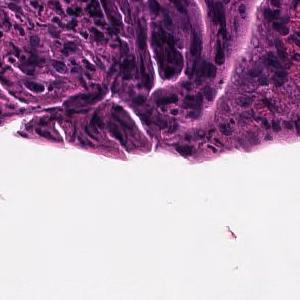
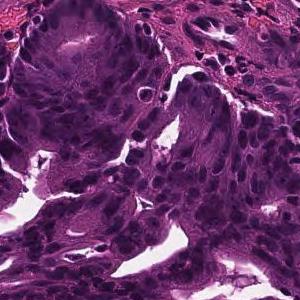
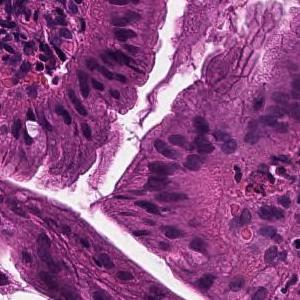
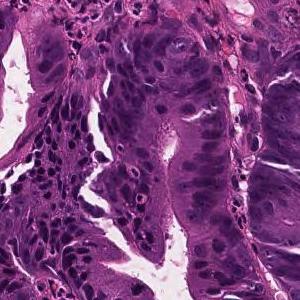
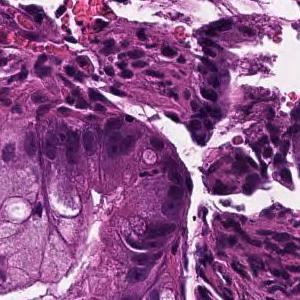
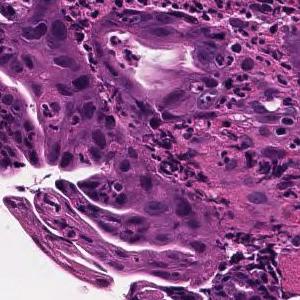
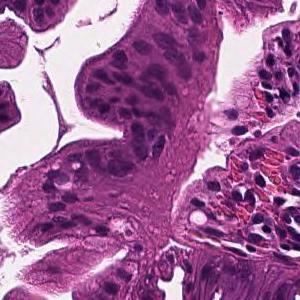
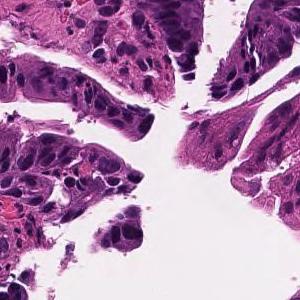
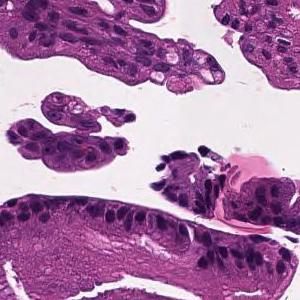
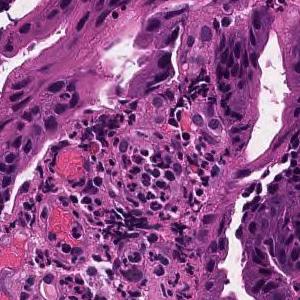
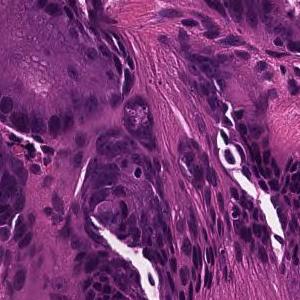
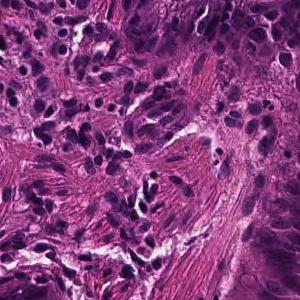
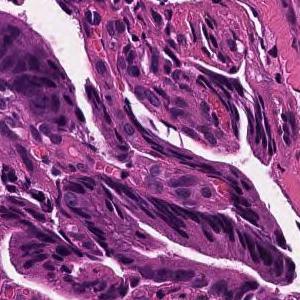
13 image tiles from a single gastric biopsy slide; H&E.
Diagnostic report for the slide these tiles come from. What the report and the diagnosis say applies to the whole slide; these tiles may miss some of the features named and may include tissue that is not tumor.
Tumor cells are large, highly columnar, large club-shaped nuclei, and are associated with chromatin aggregation. Papillary adenocarcinoma.
